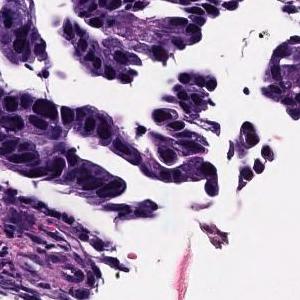
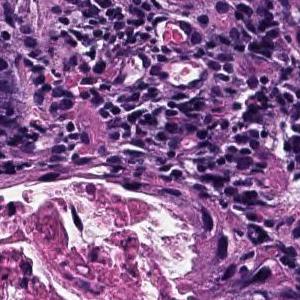
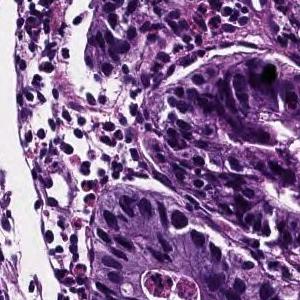
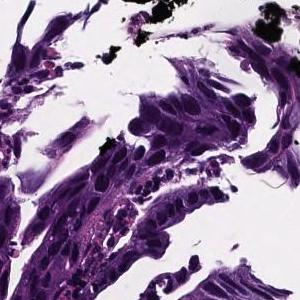
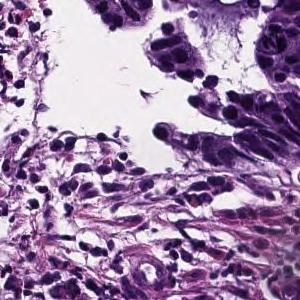
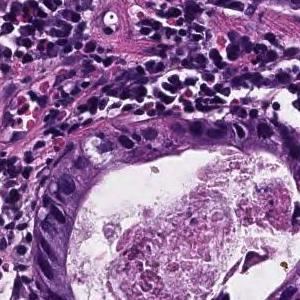
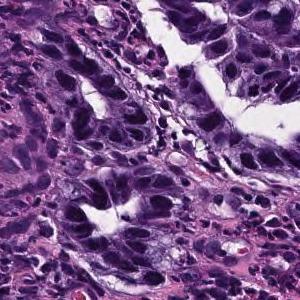
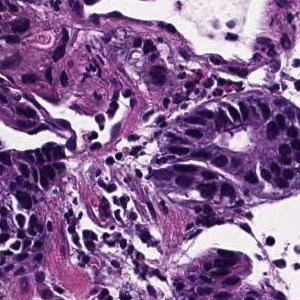
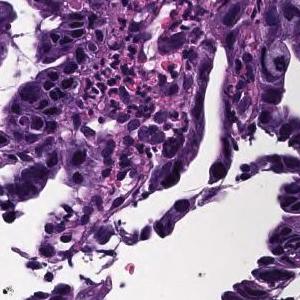
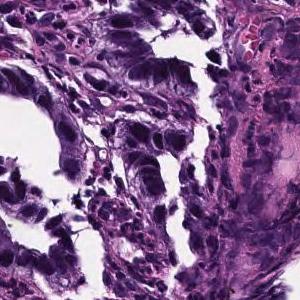
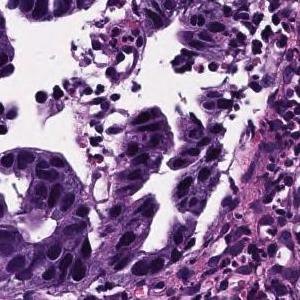
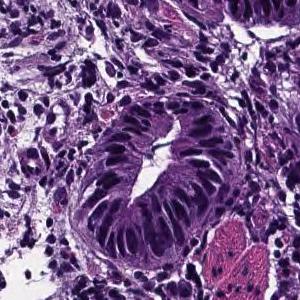
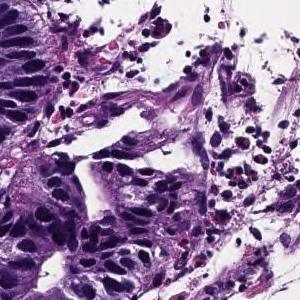
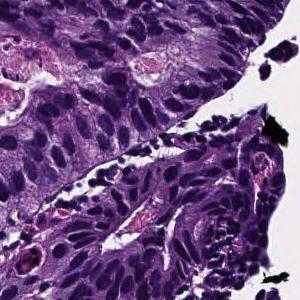
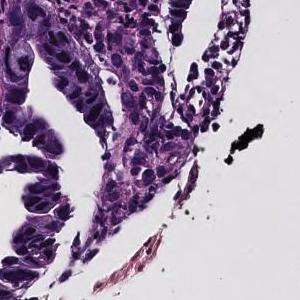
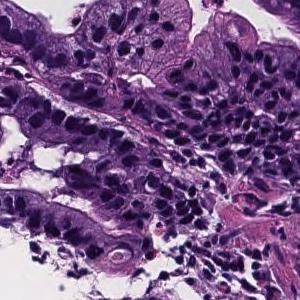
16 image tiles from a single gastric biopsy slide · 300 × 300 pixels each.
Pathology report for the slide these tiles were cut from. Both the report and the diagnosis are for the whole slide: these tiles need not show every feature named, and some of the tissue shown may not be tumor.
In the superficial epithelium, tumor tissue that invades by forming medium-sized to small, irregular ducts is observed. Moderately differentiated adenocarcinoma.
Classified as moderately differentiated tubular adenocarcinoma.
